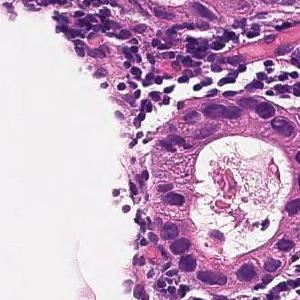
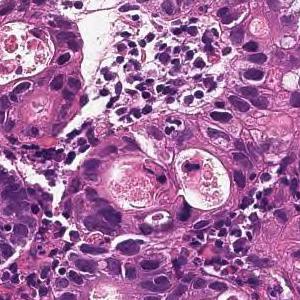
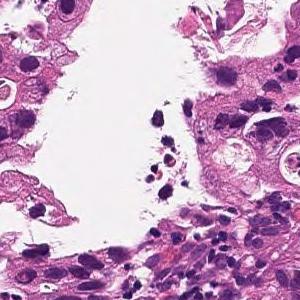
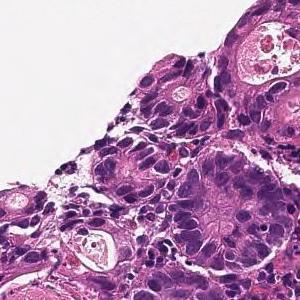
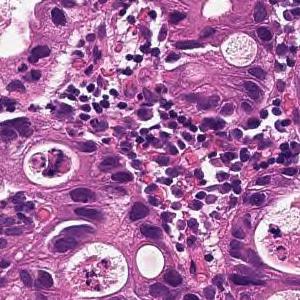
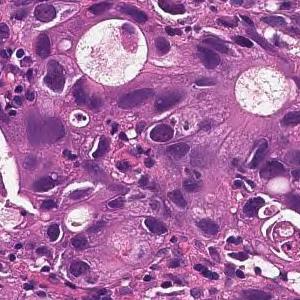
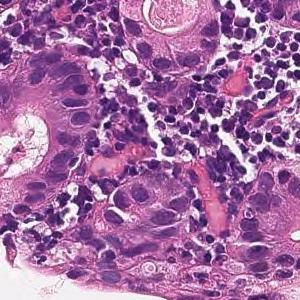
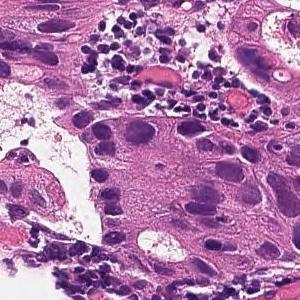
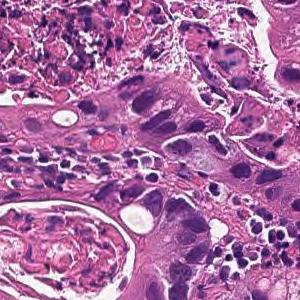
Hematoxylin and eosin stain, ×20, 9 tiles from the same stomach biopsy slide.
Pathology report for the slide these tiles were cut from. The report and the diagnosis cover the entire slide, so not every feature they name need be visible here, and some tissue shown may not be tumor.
From the superficial epithelium to the muscularis mucosae, tumor tissue consisting of medium-sized and irregular glandular ducts infiltrating is observed. Well differentiated tubular adenocarcinoma
